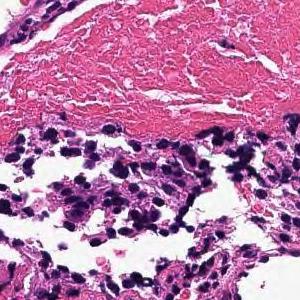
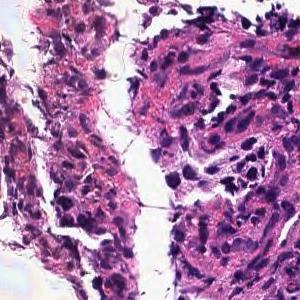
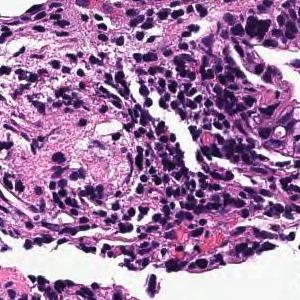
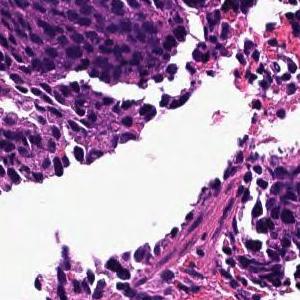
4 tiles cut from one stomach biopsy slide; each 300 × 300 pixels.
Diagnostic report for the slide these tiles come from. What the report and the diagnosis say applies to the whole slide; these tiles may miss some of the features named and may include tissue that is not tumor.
In the superficial epithelium, tumor tissue that invades by forming medium-sized to small, irregular ducts is observed. moderately differentiated tubular adenocarcinoma.
